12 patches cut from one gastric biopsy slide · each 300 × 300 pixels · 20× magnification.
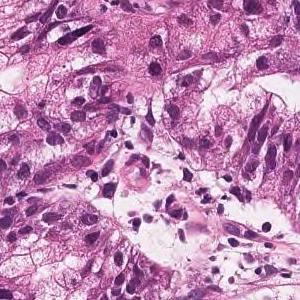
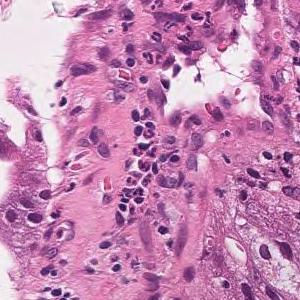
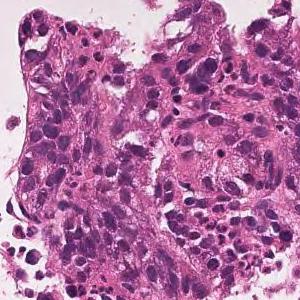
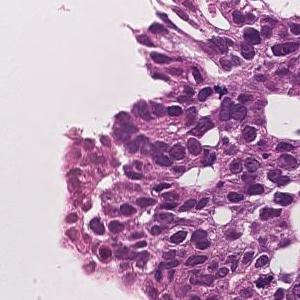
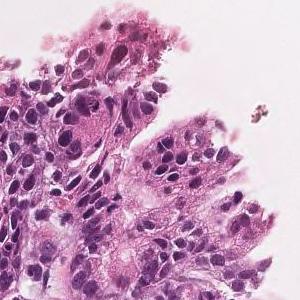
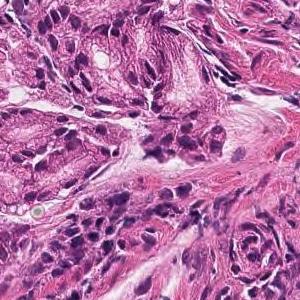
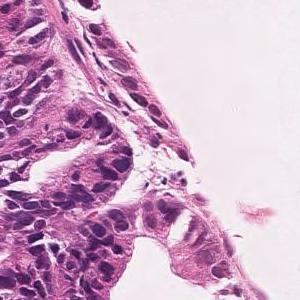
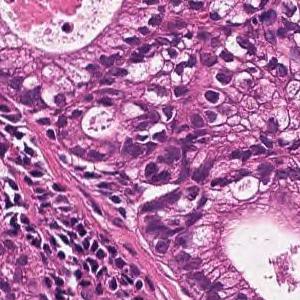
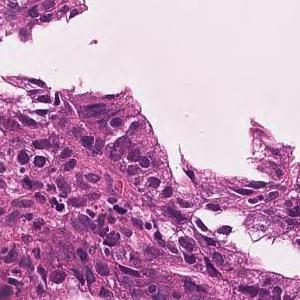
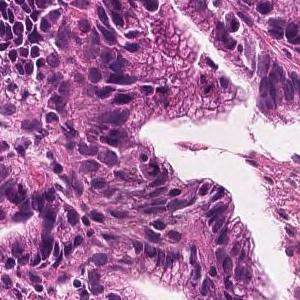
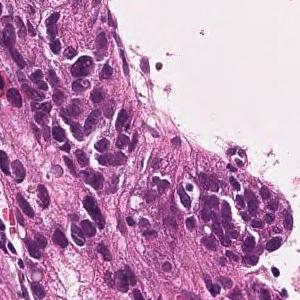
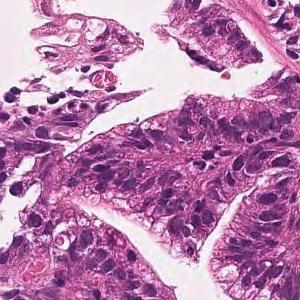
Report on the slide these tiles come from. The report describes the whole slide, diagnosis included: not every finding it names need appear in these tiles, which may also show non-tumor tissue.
On the superficial epithelium, tumor tissue consisting of large, irregular glandular ducts partially fused and infiltrated is observed. Well to moderately differentiated tubular adenocarcinoma (well differentiated tubular adenocarcinoma, moderately differentiated tubular adenocarcinoma)
Classified as well to moderately differentiated tubular adenocarcinoma.
